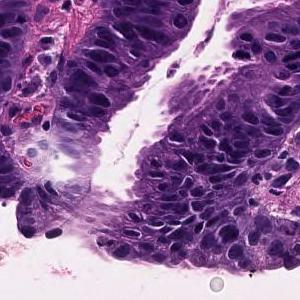
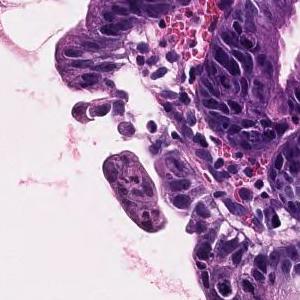
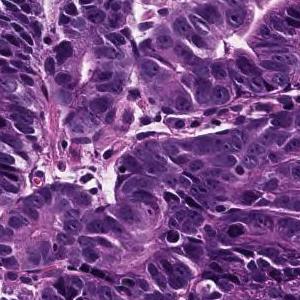
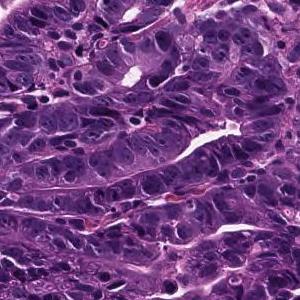
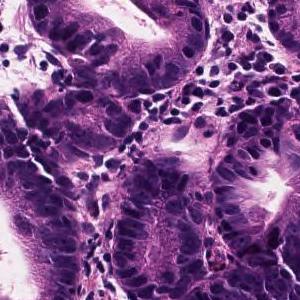
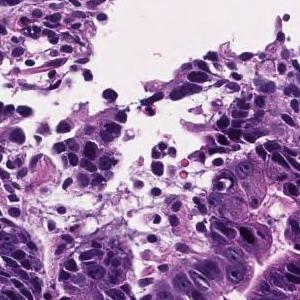
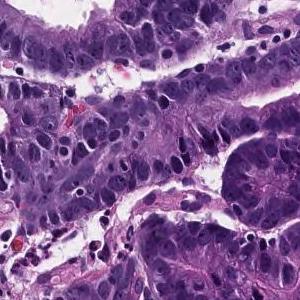
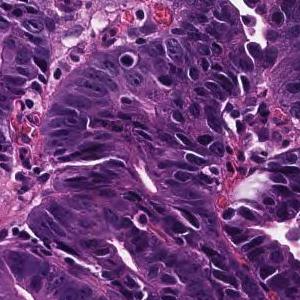
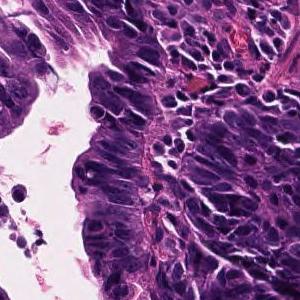
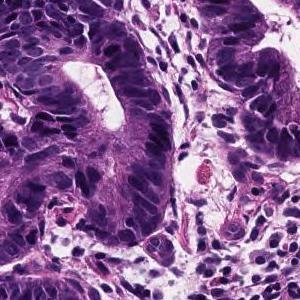
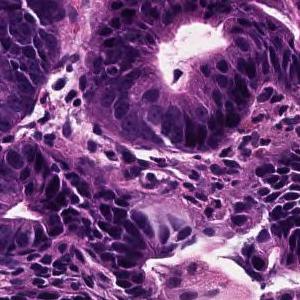
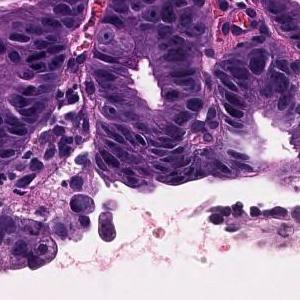
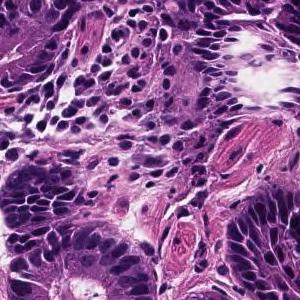
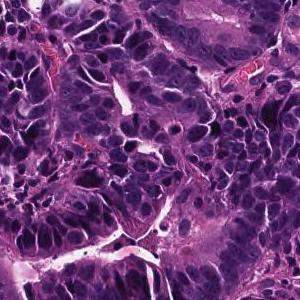
14 tiles from the same stomach biopsy slide · 300×300 px each · H&E stain · scanned at ×20.
Pathology report for the biopsy slide these tiles were cut from. What the report and the diagnosis say applies to the whole slide; these tiles may miss some of the features named and may include tissue that is not tumor.
On the superficial epithelium, tumor tissue consisting of growth of medium-sized to large-sized, round or irregular glandular ducts is observed. Well differentiated tubular adenocarcinoma
